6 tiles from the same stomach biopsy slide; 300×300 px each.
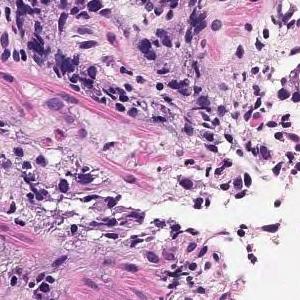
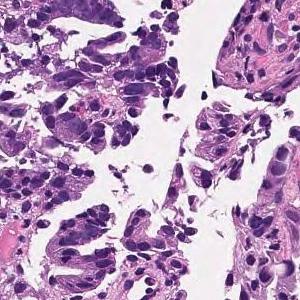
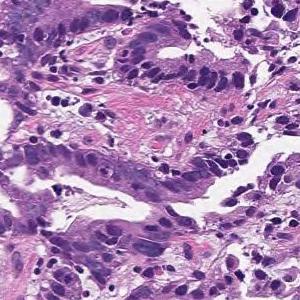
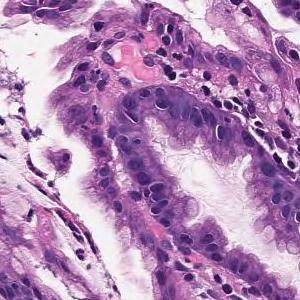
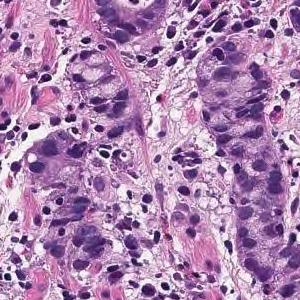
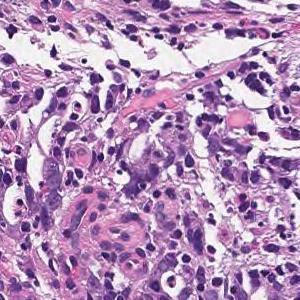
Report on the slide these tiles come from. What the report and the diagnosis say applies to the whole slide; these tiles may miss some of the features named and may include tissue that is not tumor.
Tumor tissue consisting of cord-like or small, irregular glandular ducts fused and infiltrated is observed in the superficial epithelium. Poorly differentiated adenocarcinoma, non-solid type
The non-solid type named here is a Japanese Classification of Gastric Carcinoma category.
